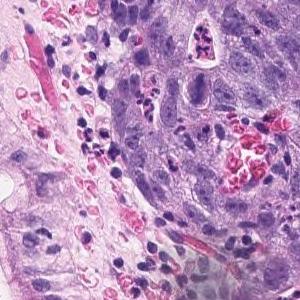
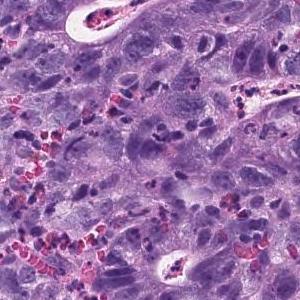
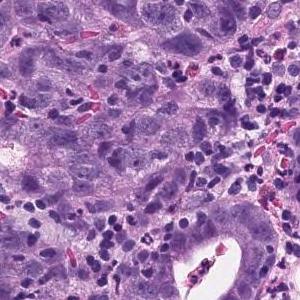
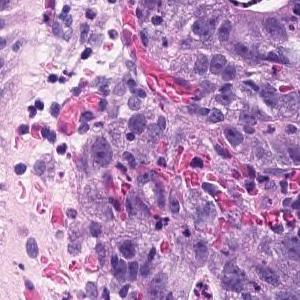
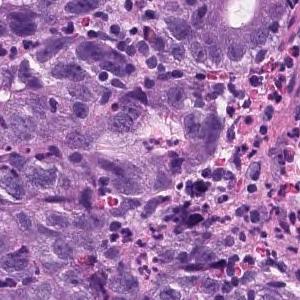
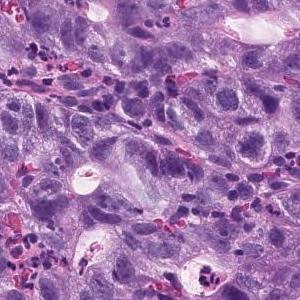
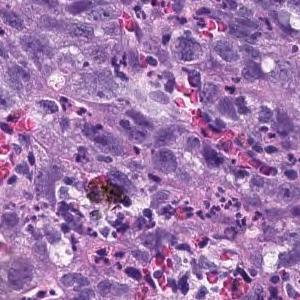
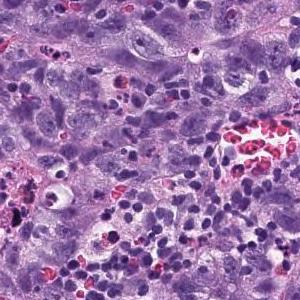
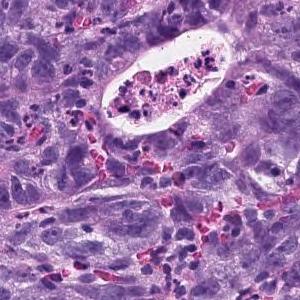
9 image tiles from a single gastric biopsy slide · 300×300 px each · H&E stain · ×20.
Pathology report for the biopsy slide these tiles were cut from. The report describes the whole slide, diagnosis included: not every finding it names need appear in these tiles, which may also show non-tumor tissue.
Atypical l cells with atypical nuclei forming solid or diffuse vesicles or small irregular atypical ducts and growing in a complex manner. moderately differentiated tubular adenocarcinoma
